11 tiles from the same stomach biopsy slide, 20× magnification.
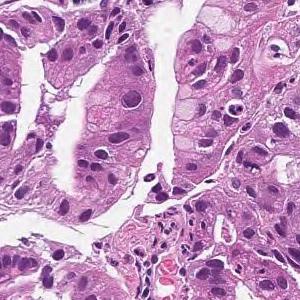
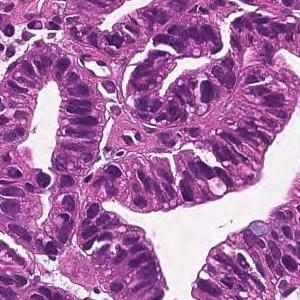
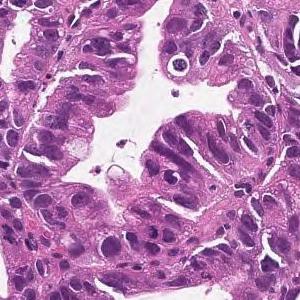
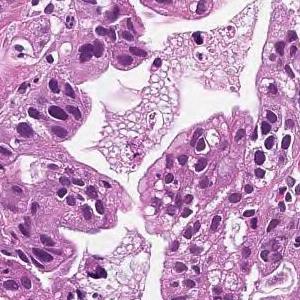
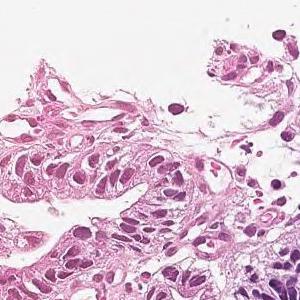
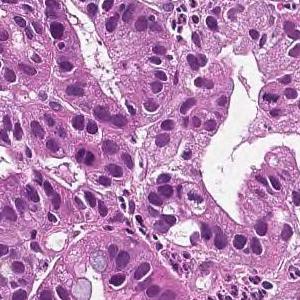
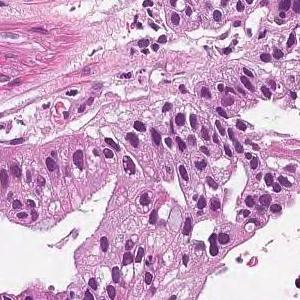
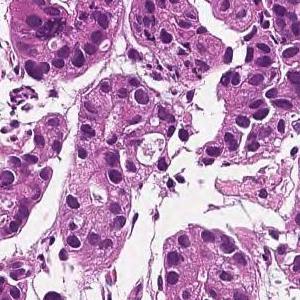
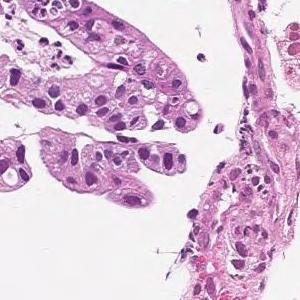
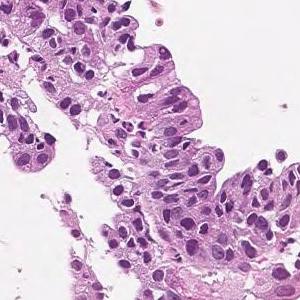
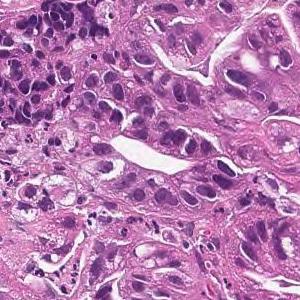
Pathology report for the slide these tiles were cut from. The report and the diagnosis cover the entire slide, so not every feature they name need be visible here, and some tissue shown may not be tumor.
On the superficial epithelium, tumor tissue that infiltrates by forming medium-sized papillary or small irregular ducts is observed. Papillary adenocarcinoma
